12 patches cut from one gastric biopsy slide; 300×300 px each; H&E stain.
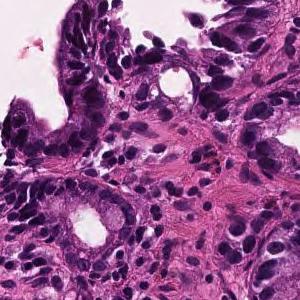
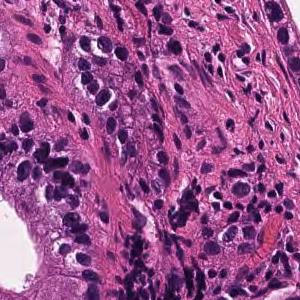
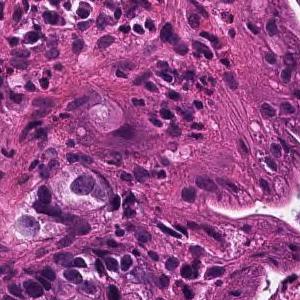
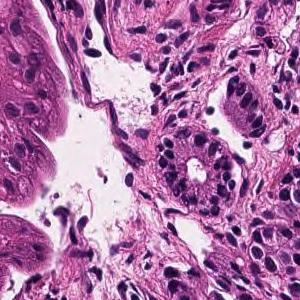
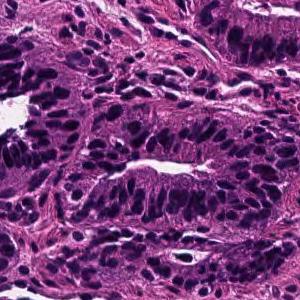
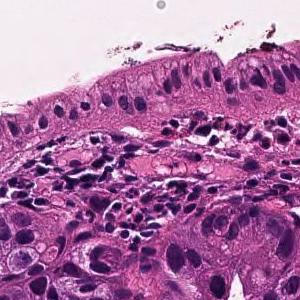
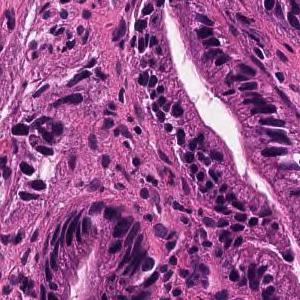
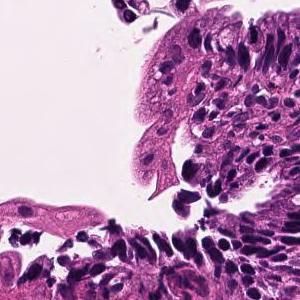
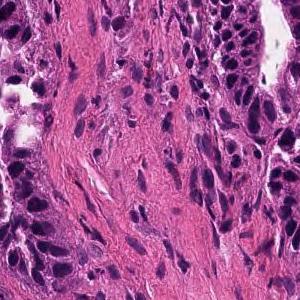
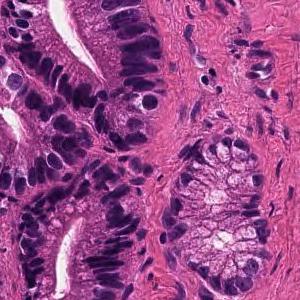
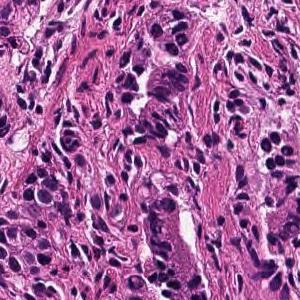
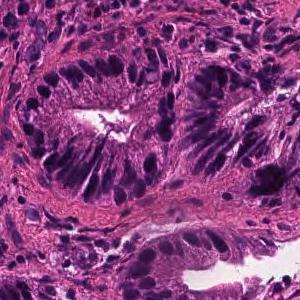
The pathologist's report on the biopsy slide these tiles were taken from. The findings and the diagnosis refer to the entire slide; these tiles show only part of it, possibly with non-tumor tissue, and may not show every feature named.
In the superficial epithelium, tumor tissue that invades by forming medium-sized to small, irregular ducts is observed. Well differentiated tubular adenocarcinoma.
